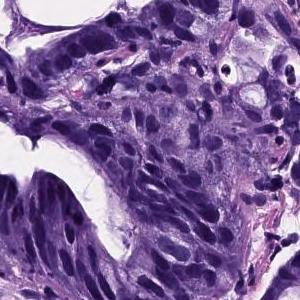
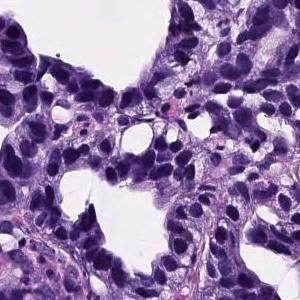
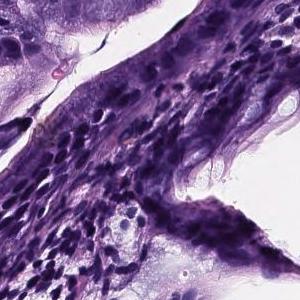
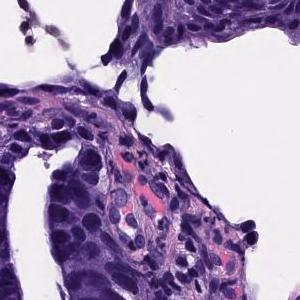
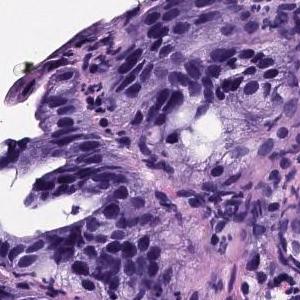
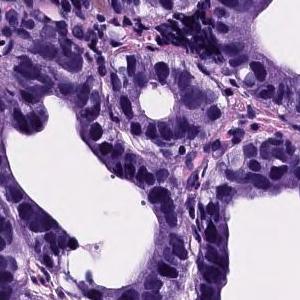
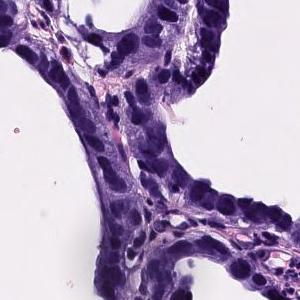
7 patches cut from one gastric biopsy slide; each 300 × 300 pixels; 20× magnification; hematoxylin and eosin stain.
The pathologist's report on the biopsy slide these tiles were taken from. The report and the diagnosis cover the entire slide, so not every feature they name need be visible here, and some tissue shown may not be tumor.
Large atypical cells which form medium to large ducts are proliferating. Well differentiated adenocarcinoma (well differentiated tubular adenocarcinoma)
Subtype: Well differentiated tubular adenocarcinoma.
